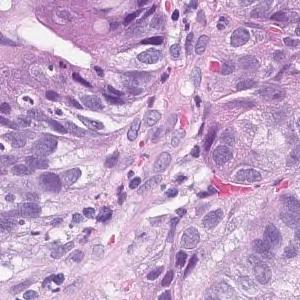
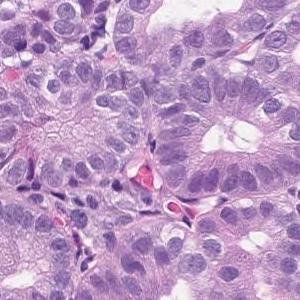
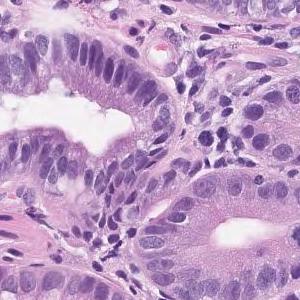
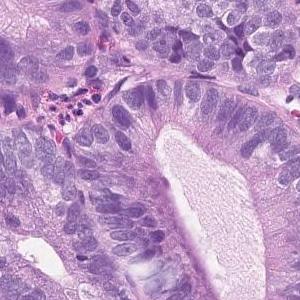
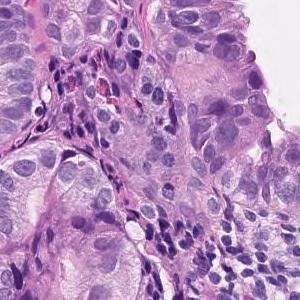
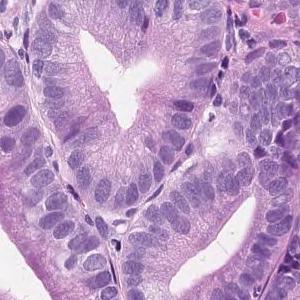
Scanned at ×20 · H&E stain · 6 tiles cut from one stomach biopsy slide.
Pathology report for the biopsy slide these tiles were cut from. The findings and the diagnosis refer to the entire slide; these tiles show only part of it, possibly with non-tumor tissue, and may not show every feature named.
Tumor tissue consisting of medium-sized and irregular ducts is observed infiltrating in the superficial epithelium. Tumor cells are highly columnar, with nuclei aligned basolaterally and polarized. Well differentiated tubular adenocarcinoma.
